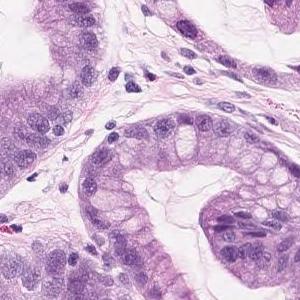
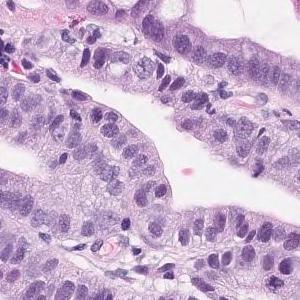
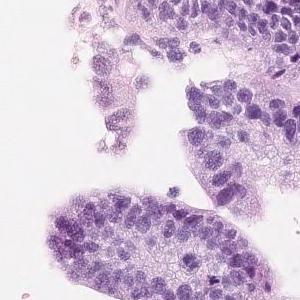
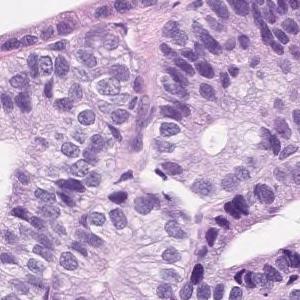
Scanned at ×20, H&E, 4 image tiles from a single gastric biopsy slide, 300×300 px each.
The pathologist's report on the biopsy slide these tiles were taken from. Both the report and the diagnosis are for the whole slide: these tiles need not show every feature named, and some of the tissue shown may not be tumor.
Short atypical epithelium with swelling of the nucleus shows proliferating, large and small irregular ductal structures. Well to moderately differentiated tubular adenocarcinoma (well differentiated tubular adenocarcinoma-moderately differentiated tubular adenocarcinoma)
Tumor subtype: well to moderately differentiated tubular adenocarcinoma.
